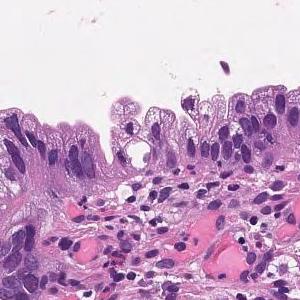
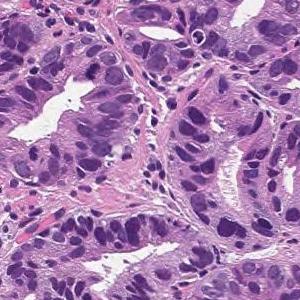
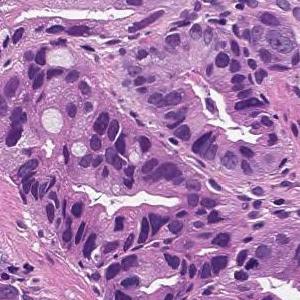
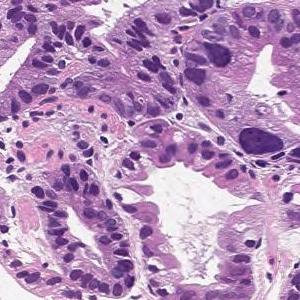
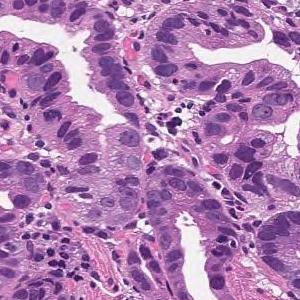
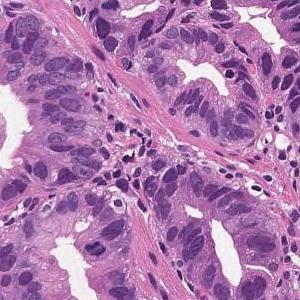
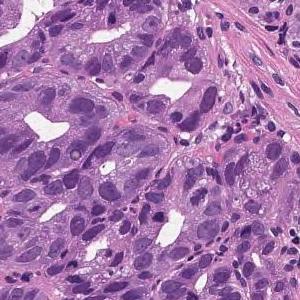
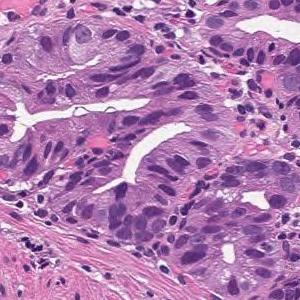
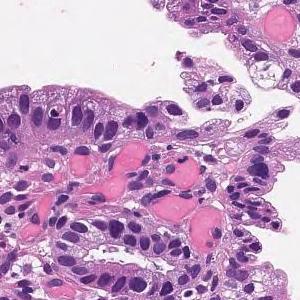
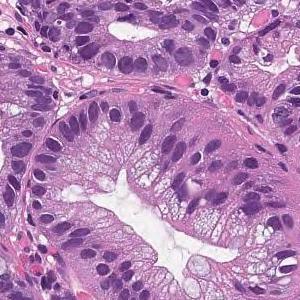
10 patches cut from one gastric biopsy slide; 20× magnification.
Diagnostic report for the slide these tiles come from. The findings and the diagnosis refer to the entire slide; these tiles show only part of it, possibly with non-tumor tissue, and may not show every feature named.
On the superficial epithelium, tumor tissue consisting of large irregular glandular ducts partially fused and infiltrated is observed. Well to moderately differentiated tubular adenocarcinoma (well differentiated tubular adenocarcinoma, moderately differentiated tubular adenocarcinoma)
Subtype: Well to moderately differentiated tubular adenocarcinoma.
